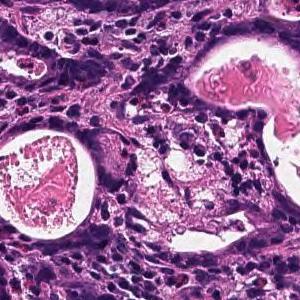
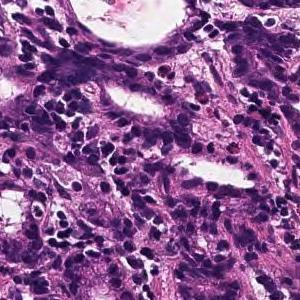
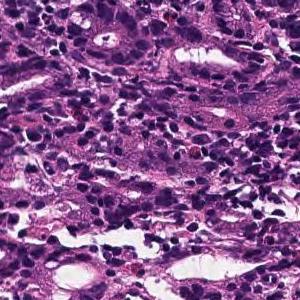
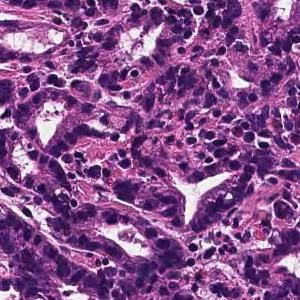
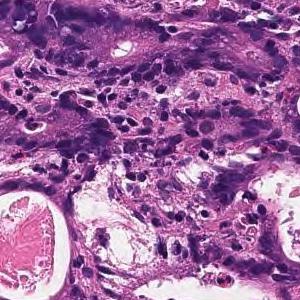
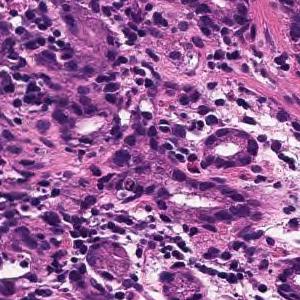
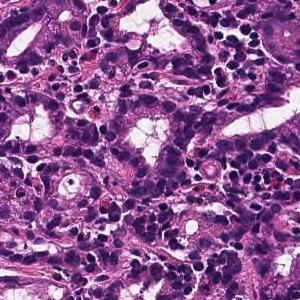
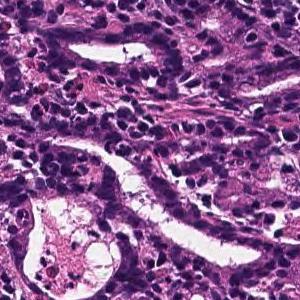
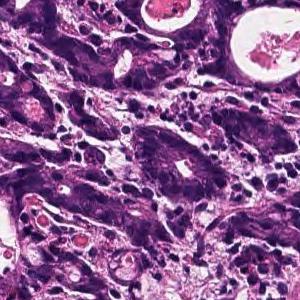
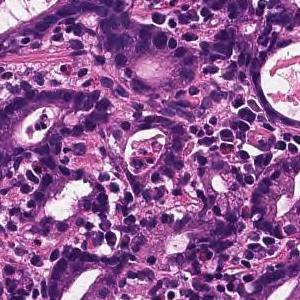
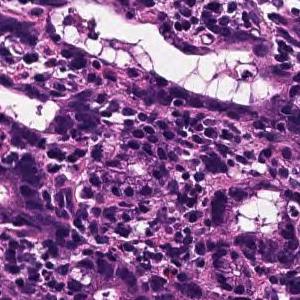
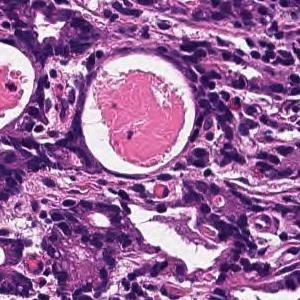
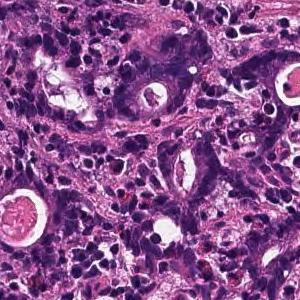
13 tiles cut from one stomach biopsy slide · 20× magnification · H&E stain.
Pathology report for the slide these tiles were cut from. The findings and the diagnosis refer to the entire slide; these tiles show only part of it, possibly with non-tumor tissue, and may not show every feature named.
On the superficial epithelium, tumor tissue is found in which medium-sized irregular gland ducts fuse with each other and infiltrate. moderately differentiated tubular adenocarcinoma
